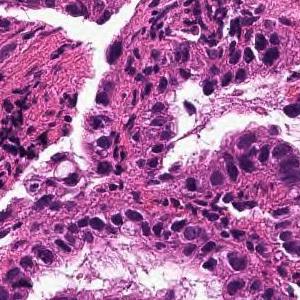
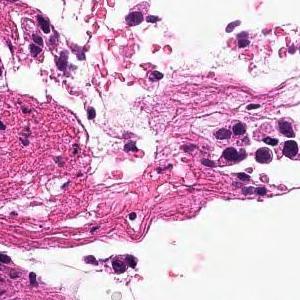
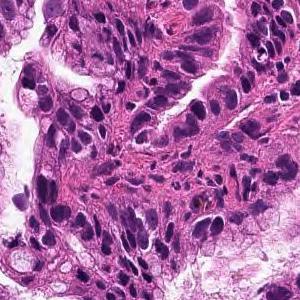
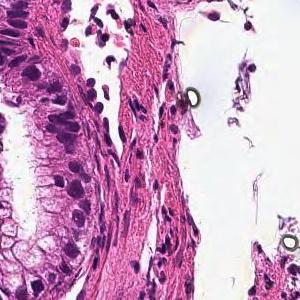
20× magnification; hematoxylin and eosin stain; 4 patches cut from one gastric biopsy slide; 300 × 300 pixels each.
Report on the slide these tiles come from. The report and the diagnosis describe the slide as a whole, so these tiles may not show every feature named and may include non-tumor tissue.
From the superficial epithelium to the muscularis mucosae, tumor tissue infiltrating by forming medium-sized irregular gland ducts is observed. Well differentiated tubular adenocarcinoma
